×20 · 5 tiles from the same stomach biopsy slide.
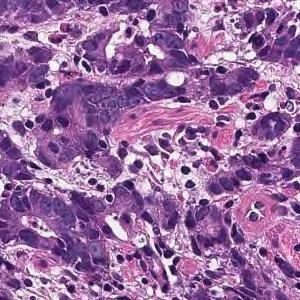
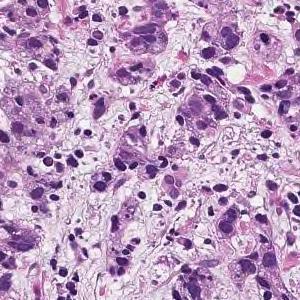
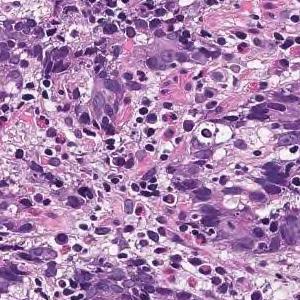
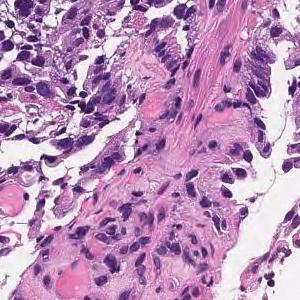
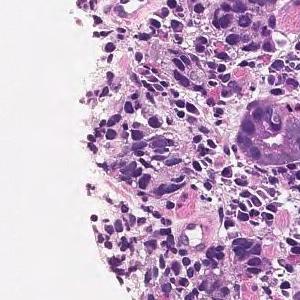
Diagnostic report for the slide these tiles come from. The report describes the whole slide, diagnosis included: not every finding it names need appear in these tiles, which may also show non-tumor tissue.
Tumor tissue consisting of cord-like or small, irregular glandular ducts fused and infiltrated is observed in the superficial epithelium. Poorly differentiated adenocarcinoma, non-solid type
"Non-solid type" is a category of the Japanese Classification of Gastric Carcinoma.
